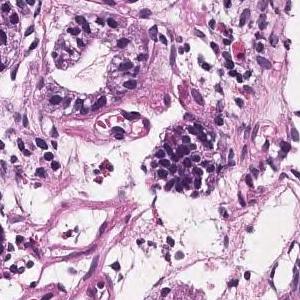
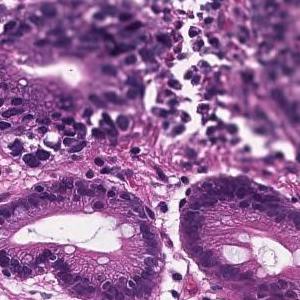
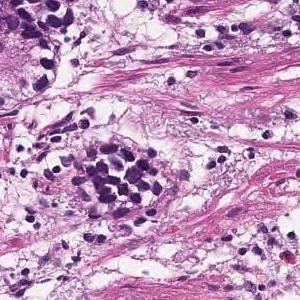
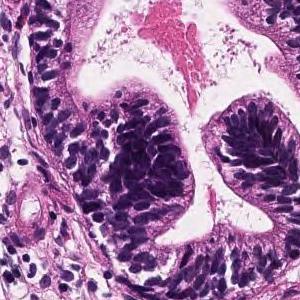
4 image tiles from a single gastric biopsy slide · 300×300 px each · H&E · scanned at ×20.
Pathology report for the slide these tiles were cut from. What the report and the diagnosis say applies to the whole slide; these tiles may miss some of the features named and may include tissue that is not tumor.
Tumor tissue consisting of medium-sized and irregular ducts is observed infiltrating in the superficial epithelium. Tumor cells are highly columnar, with nuclei aligned basolaterally and polarized. Well differentiated tubular adenocarcinoma.
